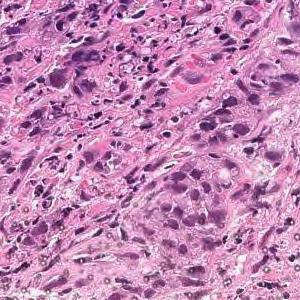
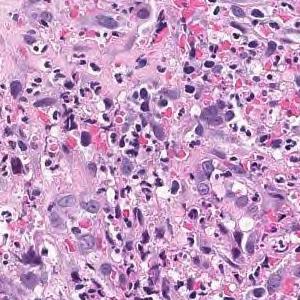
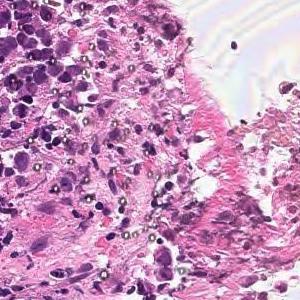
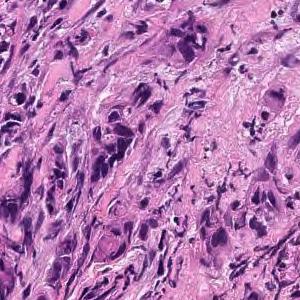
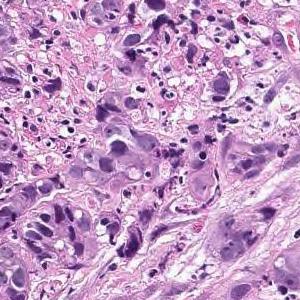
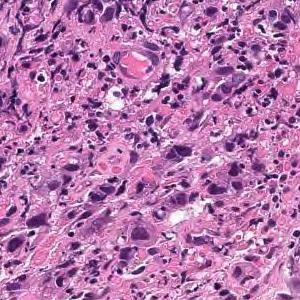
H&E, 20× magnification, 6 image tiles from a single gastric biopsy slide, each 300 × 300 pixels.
Pathology report for the slide these tiles were cut from. The report and the diagnosis cover the entire slide, so not every feature they name need be visible here, and some tissue shown may not be tumor.
Tumor tissue consisting of cord-like or small, irregular glandular ducts fused and infiltrated is observed in the superficial epithelium. Poorly differentiated adenocarcinoma, non-solid type
The term "non-solid type" comes from the Japanese Classification of Gastric Carcinoma.
